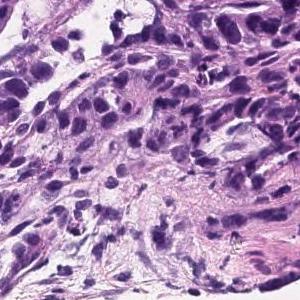
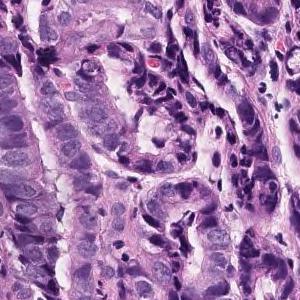
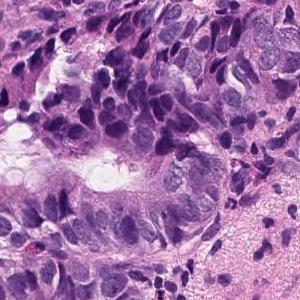
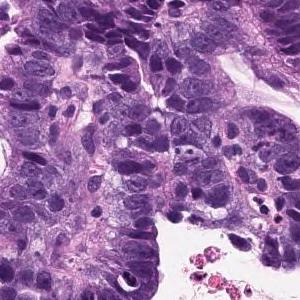
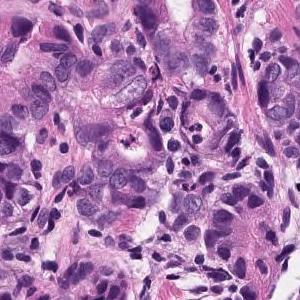
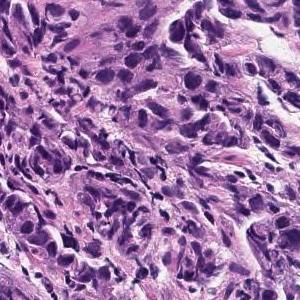
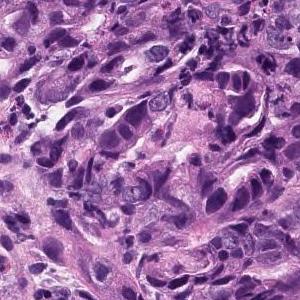
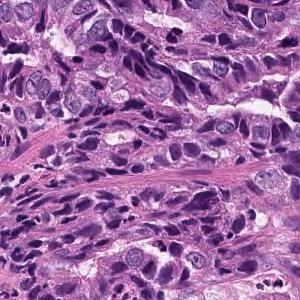
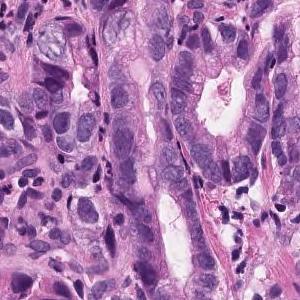
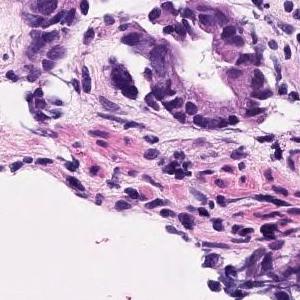
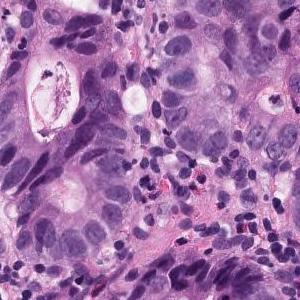
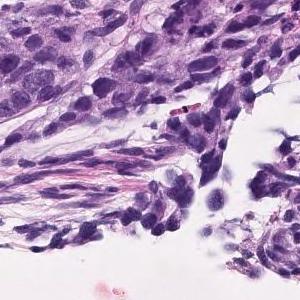
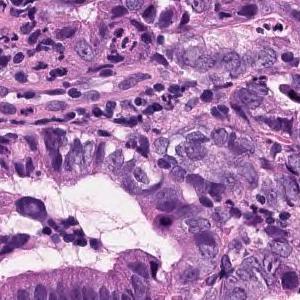
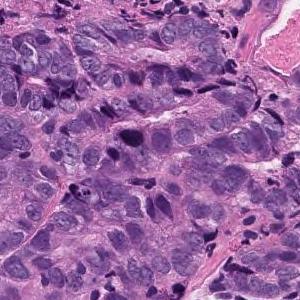
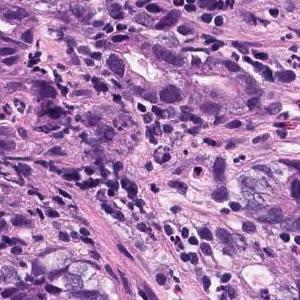
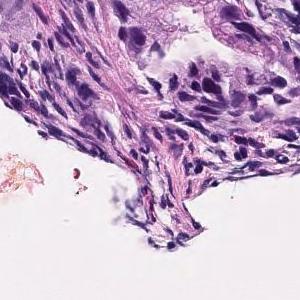
16 image tiles from a single gastric biopsy slide.
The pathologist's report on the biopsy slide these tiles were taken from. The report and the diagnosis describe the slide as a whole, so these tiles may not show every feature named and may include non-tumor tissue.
The swollen atypical epithelium of the nucleus forms an irregular ductal structure and proliferates. moderately differentiated tubular adenocarcinoma
